H&E stain, 6 tiles from the same stomach biopsy slide, each 300 × 300 pixels.
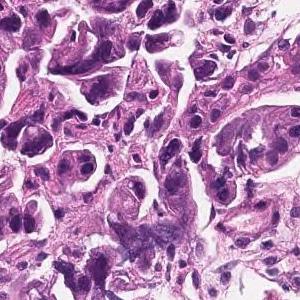
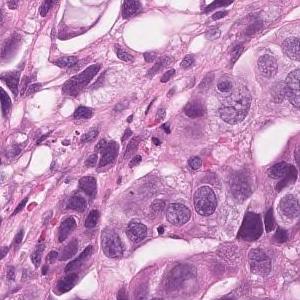
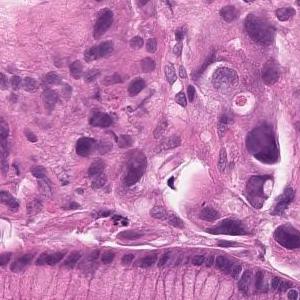
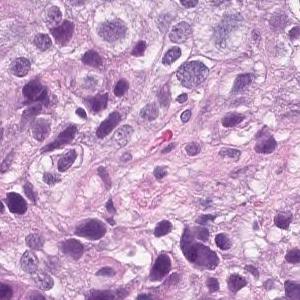
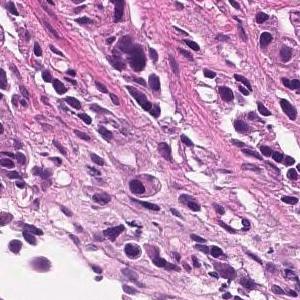
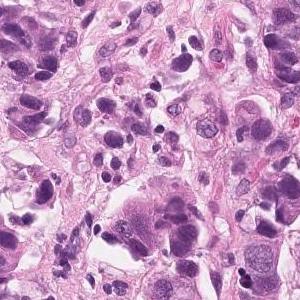
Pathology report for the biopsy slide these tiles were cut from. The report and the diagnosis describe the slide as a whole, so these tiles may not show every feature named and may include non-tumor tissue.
Tumor tissue that infiltrates the epithelium in an alveolar manner. Poorly differentiated adenocarcinoma, solid-type
Subtype: Poorly differentiated adenocarcinoma, solid type, a category of the Japanese Classification of Gastric Carcinoma; in the WHO 2019 classification it is tubular adenocarcinoma, poorly differentiated.
